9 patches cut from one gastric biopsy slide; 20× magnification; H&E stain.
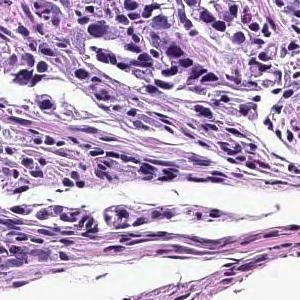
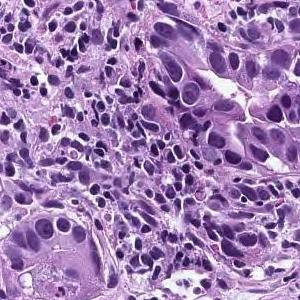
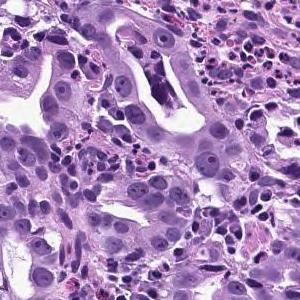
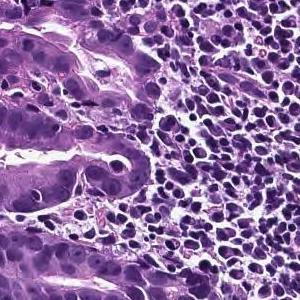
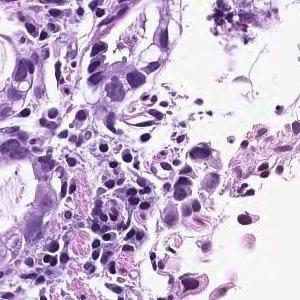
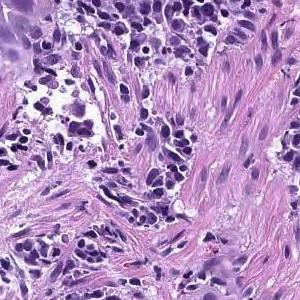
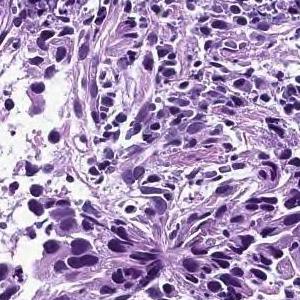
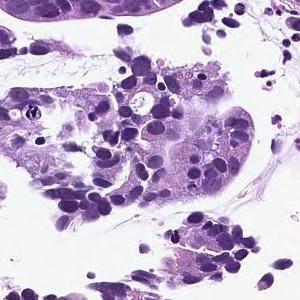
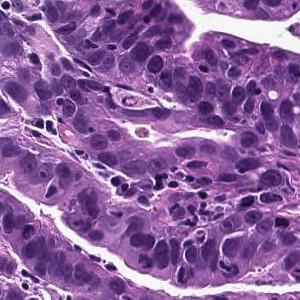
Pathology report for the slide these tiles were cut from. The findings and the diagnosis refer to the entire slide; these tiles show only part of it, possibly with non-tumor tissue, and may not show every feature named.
In the superficial epithelium, tumor tissue that invades by forming medium-sized to small, irregular ducts is observed. moderately differentiated tubular adenocarcinoma.
